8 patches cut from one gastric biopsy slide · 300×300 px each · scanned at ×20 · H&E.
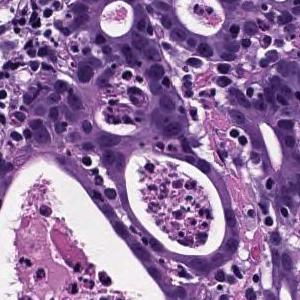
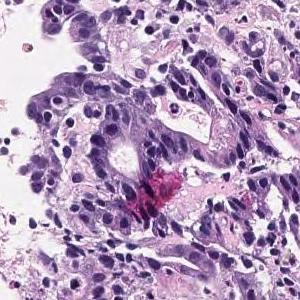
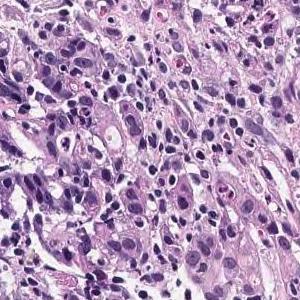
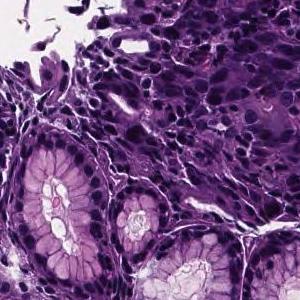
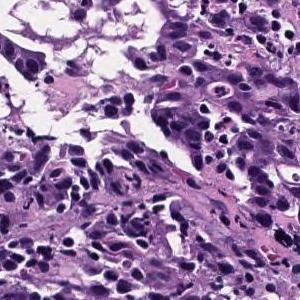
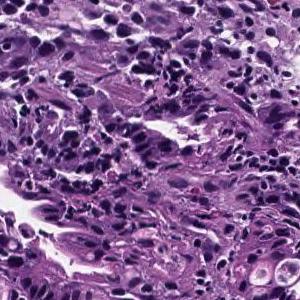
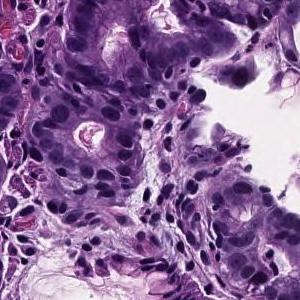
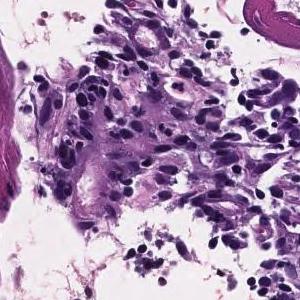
Pathology report for the biopsy slide these tiles were cut from. What the report and the diagnosis say applies to the whole slide; these tiles may miss some of the features named and may include tissue that is not tumor.
In the superficial epithelium, tumor tissue that invades by forming medium-sized to small, irregular ducts is observed. moderately differentiated tubular adenocarcinoma.
